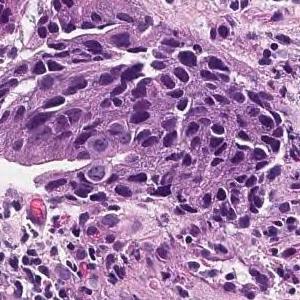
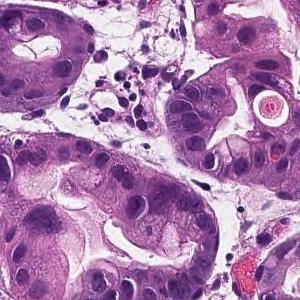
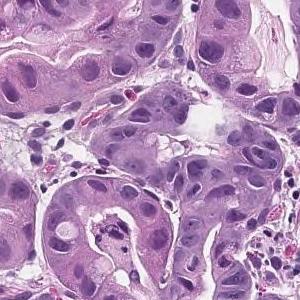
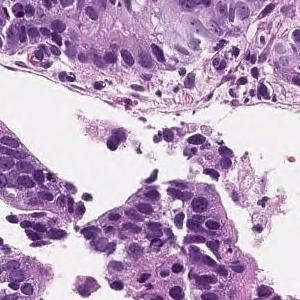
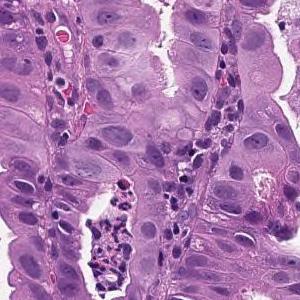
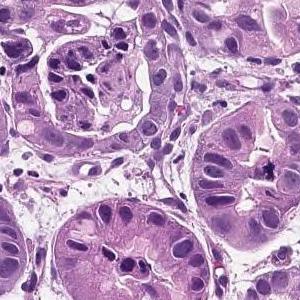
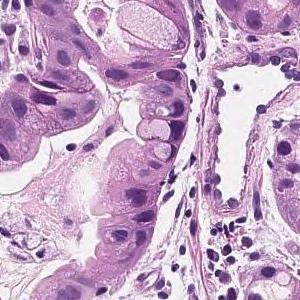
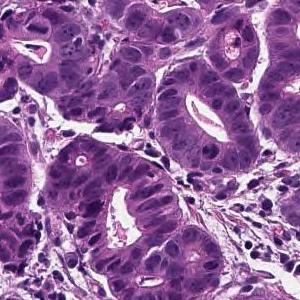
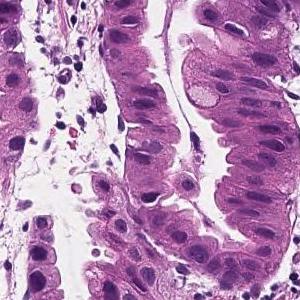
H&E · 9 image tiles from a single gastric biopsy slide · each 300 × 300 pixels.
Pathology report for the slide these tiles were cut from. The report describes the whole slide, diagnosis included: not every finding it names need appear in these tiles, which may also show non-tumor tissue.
On the superficial epithelium, tumor tissue that infiltrates by forming medium-sized papillary or small irregular ducts is observed. Papillary adenocarcinoma
